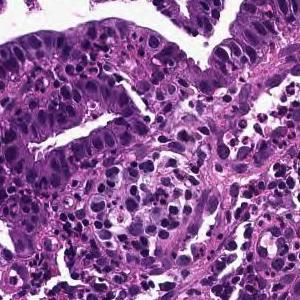
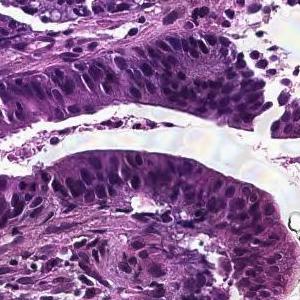
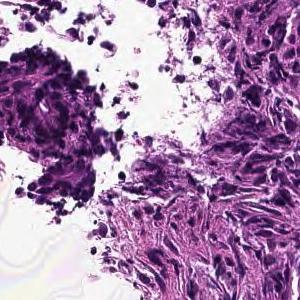
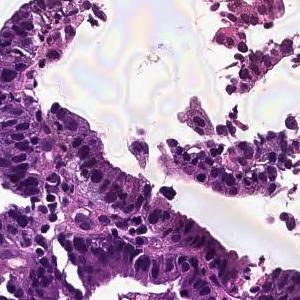
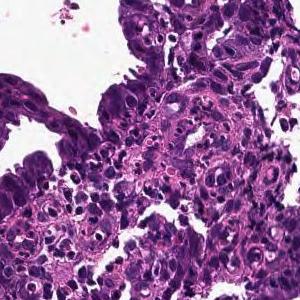
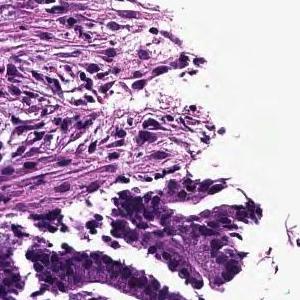
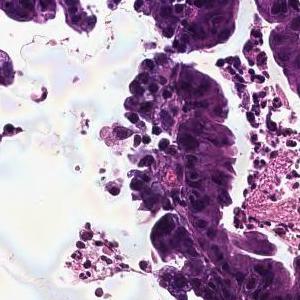
H&E stain · ×20 · 7 tiles from the same stomach biopsy slide.
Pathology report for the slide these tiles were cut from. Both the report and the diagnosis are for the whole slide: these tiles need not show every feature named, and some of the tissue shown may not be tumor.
Tumor cells are large, highly columnar, large club-shaped nuclei, and are associated with chromatin aggregation. Papillary adenocarcinoma.
